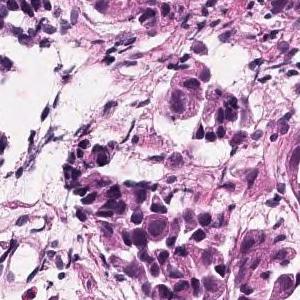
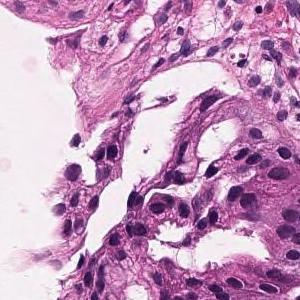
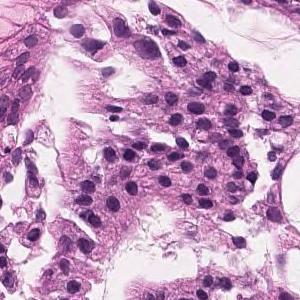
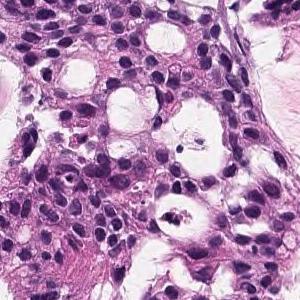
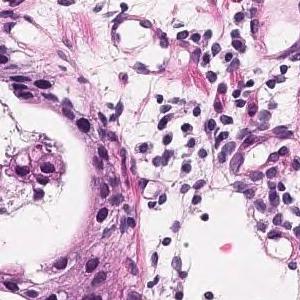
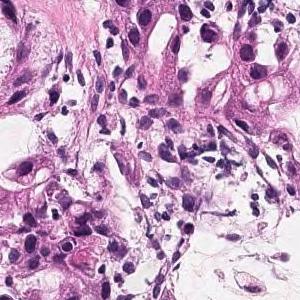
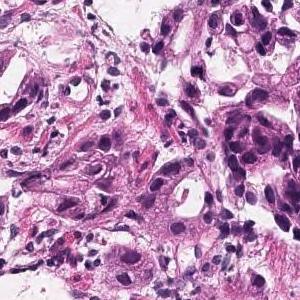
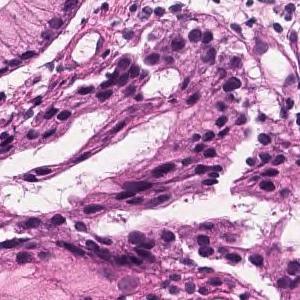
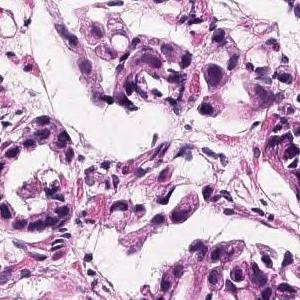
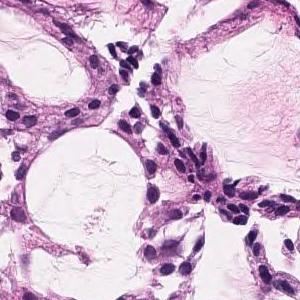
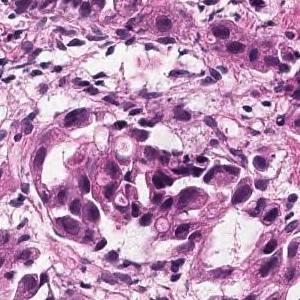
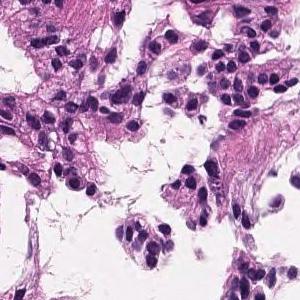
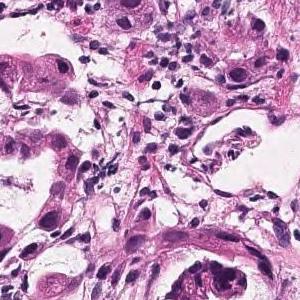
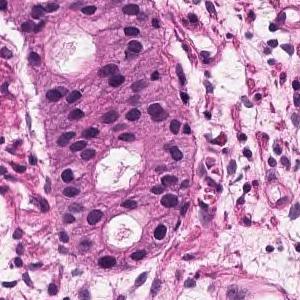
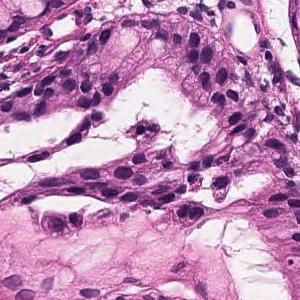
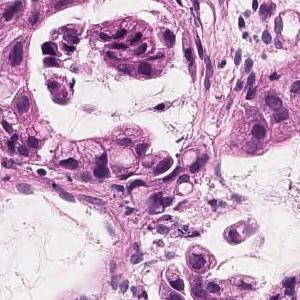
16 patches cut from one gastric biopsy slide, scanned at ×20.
Pathology report for the biopsy slide these tiles were cut from. Both the report and the diagnosis are for the whole slide: these tiles need not show every feature named, and some of the tissue shown may not be tumor.
In the superficial epithelium, tumor tissue that invades by forming medium-sized to small, irregular ducts is observed. moderately differentiated tubular adenocarcinoma.
